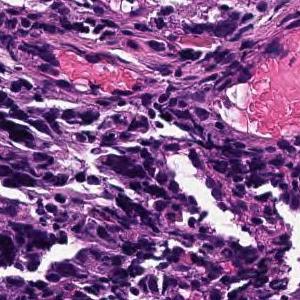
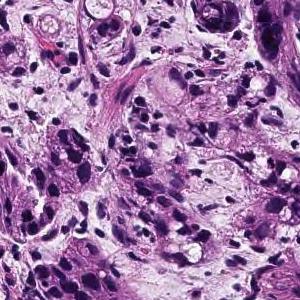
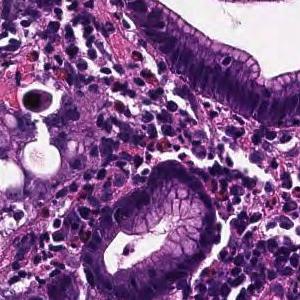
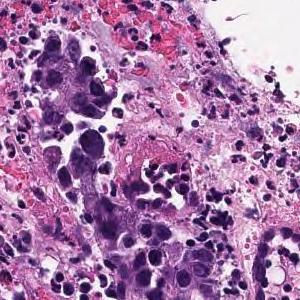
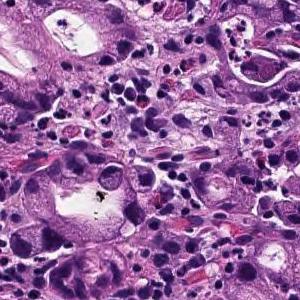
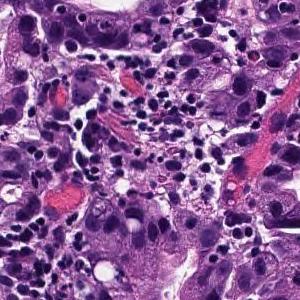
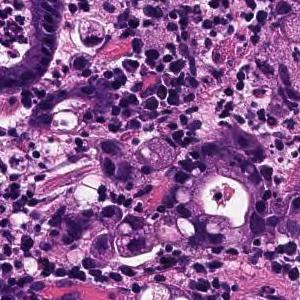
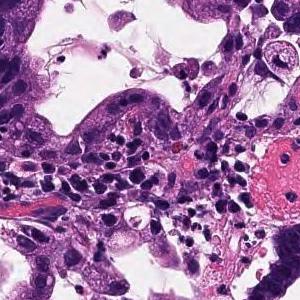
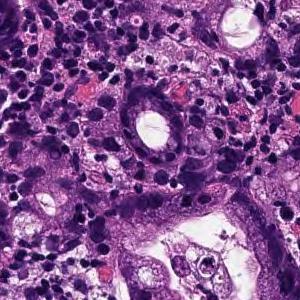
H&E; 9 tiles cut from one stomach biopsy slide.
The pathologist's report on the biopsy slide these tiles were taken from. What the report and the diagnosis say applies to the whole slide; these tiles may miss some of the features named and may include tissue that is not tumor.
Tumor tissue consisting of medium-sized, cord-like or irregular glandular infiltration is observed in the superficial epithelium. Poorly differentiated adenocarcinoma, non-solid type or moderately differentiated tubular adenocarcinoma
Histological subtype: Moderately to poorly differentiated adenocarcinoma.
The non-solid type named here is a Japanese Classification of Gastric Carcinoma category.
